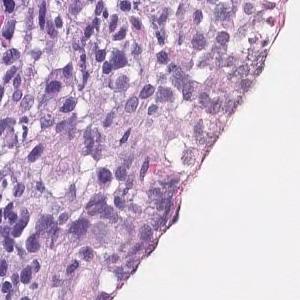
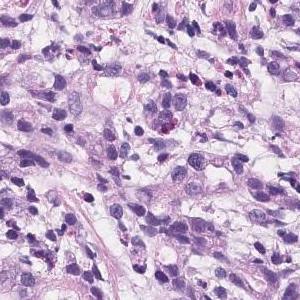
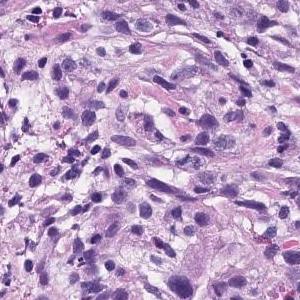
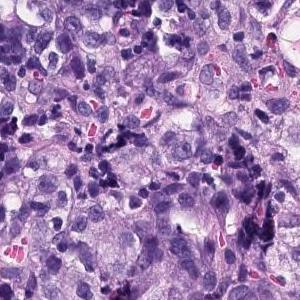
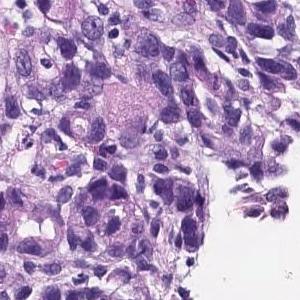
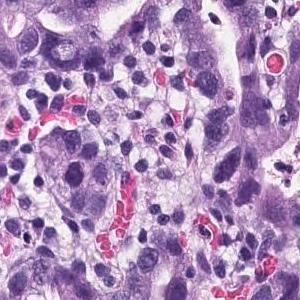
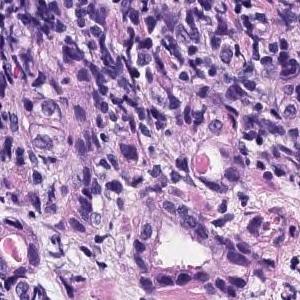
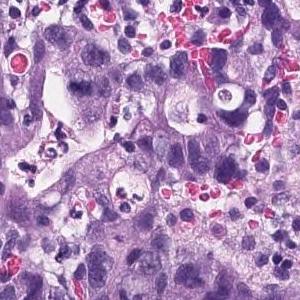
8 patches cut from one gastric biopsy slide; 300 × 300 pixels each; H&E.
Diagnostic report for the slide these tiles come from. What the report and the diagnosis say applies to the whole slide; these tiles may miss some of the features named and may include tissue that is not tumor.
There are atypical l cells with atypical nuclei forming cord-like or irregular atypical ducts from solidity and proliferating in a comprehensive manner. Poorly differentiated adenocarcinoma, Moderately differentiated adenocarcinoma (poorly differentiated adenocarcinoma, solid type moderately differentiated tubular adenocarcinoma)
Classified as moderately to poorly differentiated adenocarcinoma.
The term "solid type" comes from the Japanese Classification of Gastric Carcinoma; the WHO 2019 equivalent is tubular adenocarcinoma, poorly differentiated.
